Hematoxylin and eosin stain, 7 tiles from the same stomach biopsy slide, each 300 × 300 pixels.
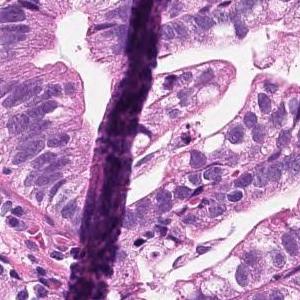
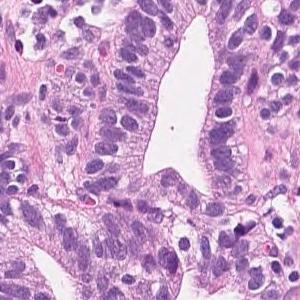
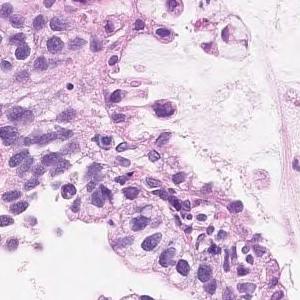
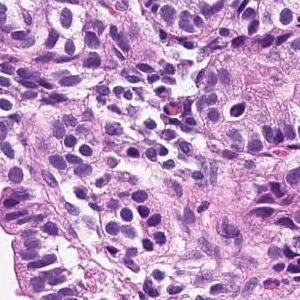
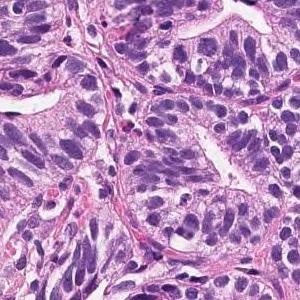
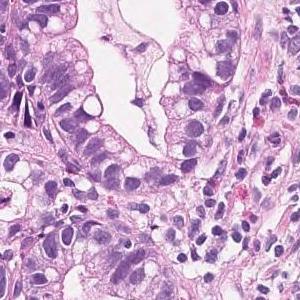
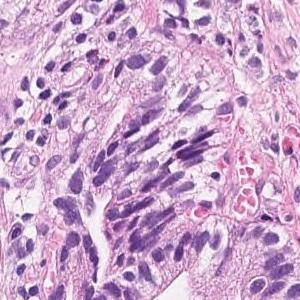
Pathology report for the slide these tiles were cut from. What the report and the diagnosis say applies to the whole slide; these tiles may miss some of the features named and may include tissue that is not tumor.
On the superficial epithelium, there is a tumor tissue consisting of medium to small, irregular tubules that are partially fused and proliferated. Well to moderately differentiated tubular adenocarcinoma
